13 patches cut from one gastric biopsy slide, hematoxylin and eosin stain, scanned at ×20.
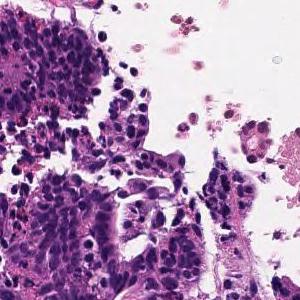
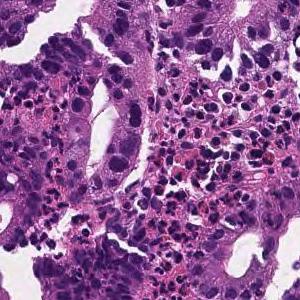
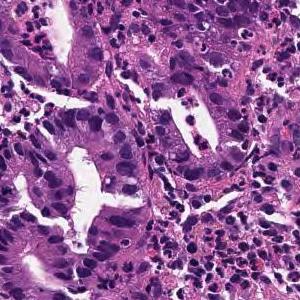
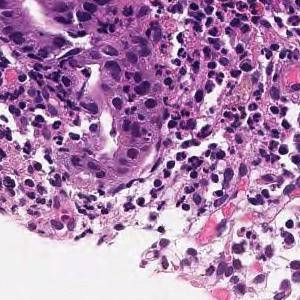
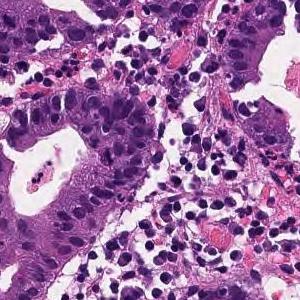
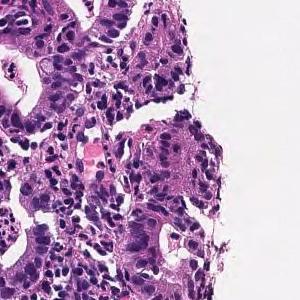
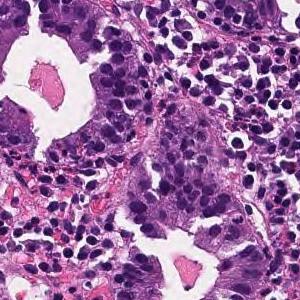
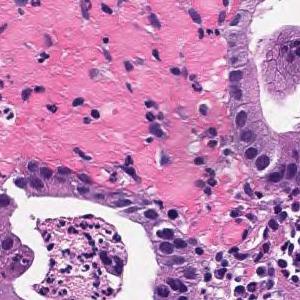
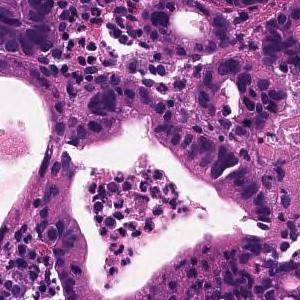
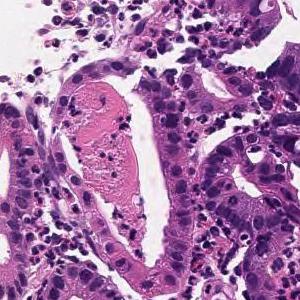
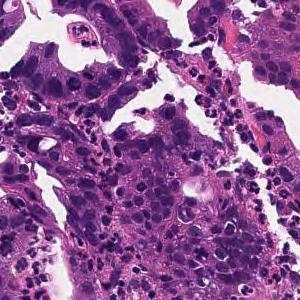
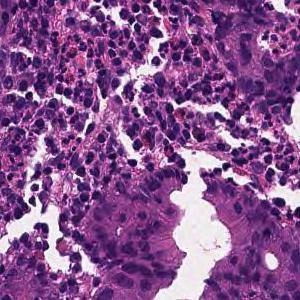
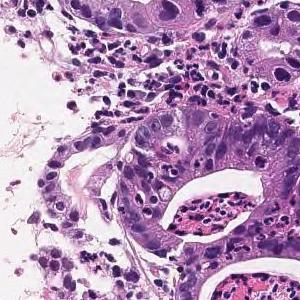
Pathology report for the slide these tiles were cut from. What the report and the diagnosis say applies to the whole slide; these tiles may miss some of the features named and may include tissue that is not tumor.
In the superficial epithelium, tumor tissue that invades by forming medium-sized to small, irregular ducts is observed. moderately differentiated tubular adenocarcinoma.
